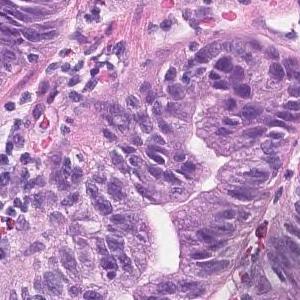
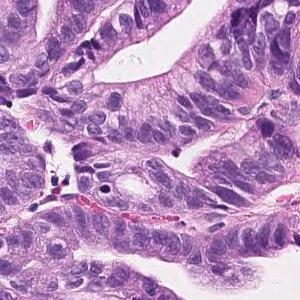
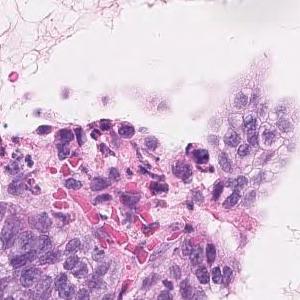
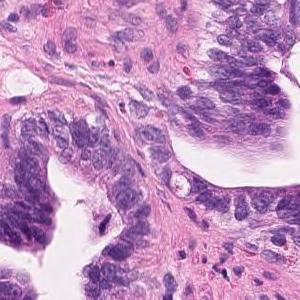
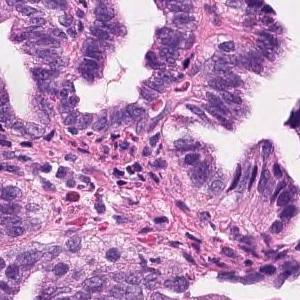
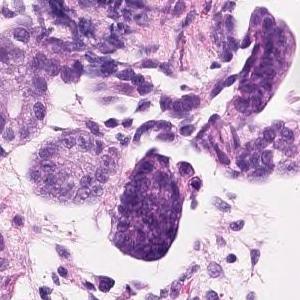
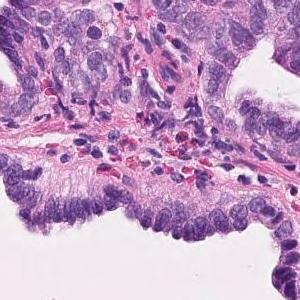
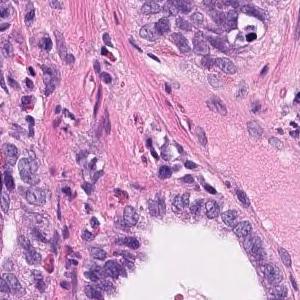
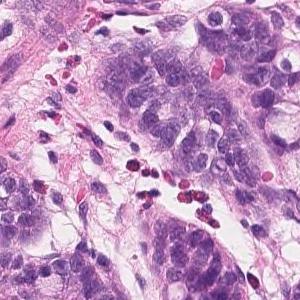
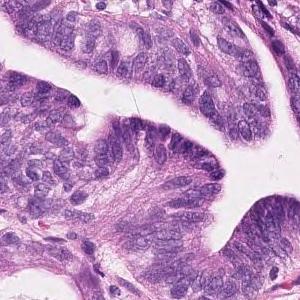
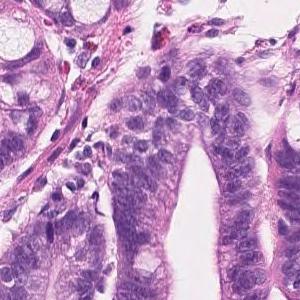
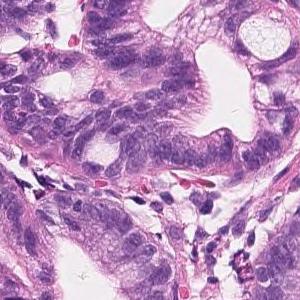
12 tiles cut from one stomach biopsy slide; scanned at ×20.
Diagnostic report for the slide these tiles come from. The report and the diagnosis describe the slide as a whole, so these tiles may not show every feature named and may include non-tumor tissue.
Tumor cells are large, highly columnar, large club-shaped nuclei, and are associated with chromatin aggregation. Papillary adenocarcinoma.
